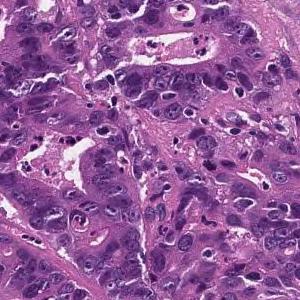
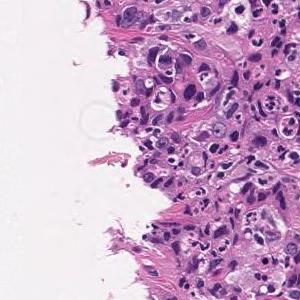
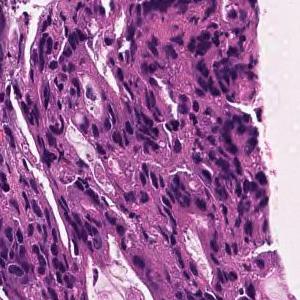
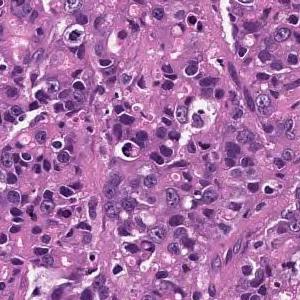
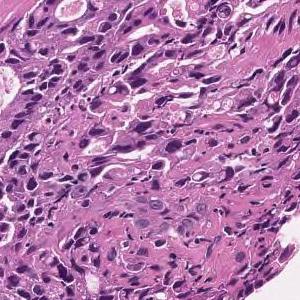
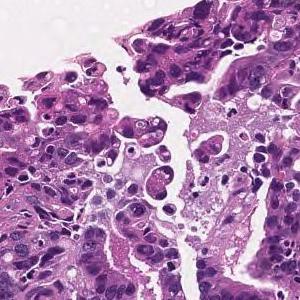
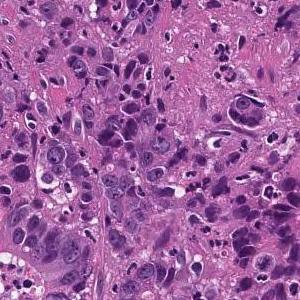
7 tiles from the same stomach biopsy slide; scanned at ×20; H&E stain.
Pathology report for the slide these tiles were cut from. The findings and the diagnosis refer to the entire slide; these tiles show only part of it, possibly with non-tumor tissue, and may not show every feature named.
In the superficial epithelium, tumor tissue that invades by forming medium-sized to small, irregular ducts is observed. moderately differentiated tubular adenocarcinoma.
